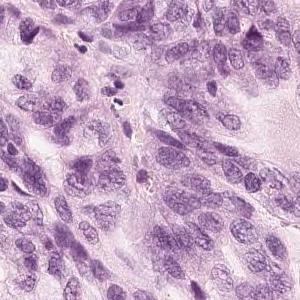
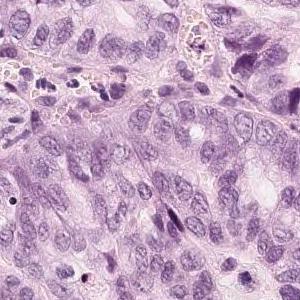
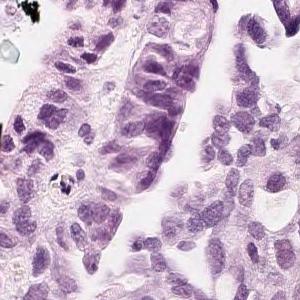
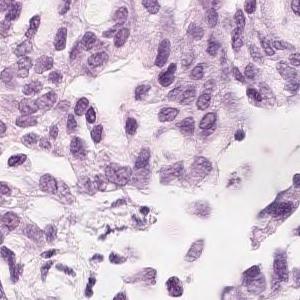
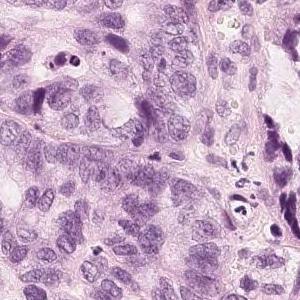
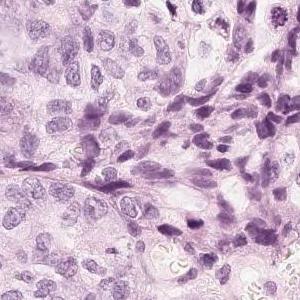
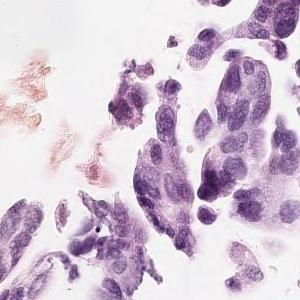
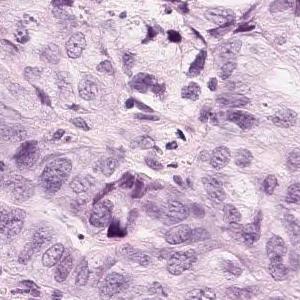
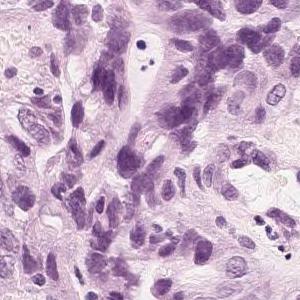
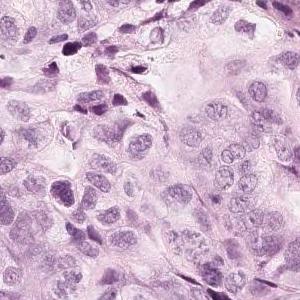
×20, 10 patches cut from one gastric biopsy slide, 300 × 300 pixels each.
Pathology report for the biopsy slide these tiles were cut from. The report describes the whole slide, diagnosis included: not every finding it names need appear in these tiles, which may also show non-tumor tissue.
Tumor tissue in which medium-sized atypical epithelial cells with a large N/C ratio grow densely while becoming alveolar to cord-like with duct formation is observed. moderately differentiated tubular adenocarcinoma
